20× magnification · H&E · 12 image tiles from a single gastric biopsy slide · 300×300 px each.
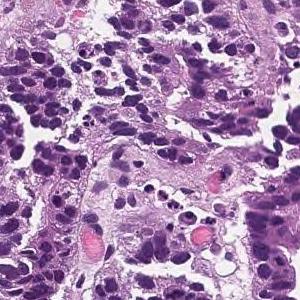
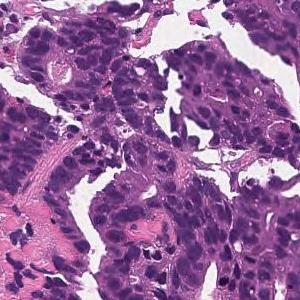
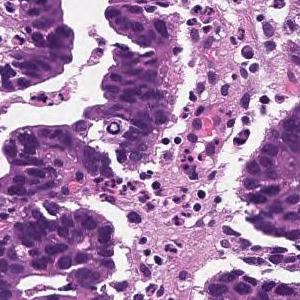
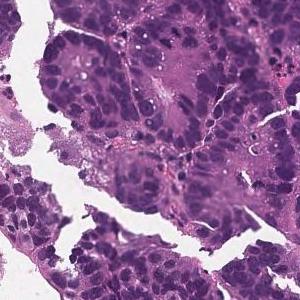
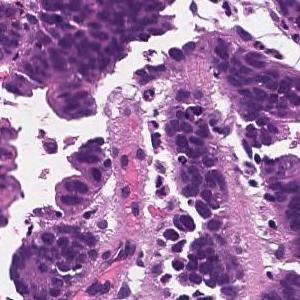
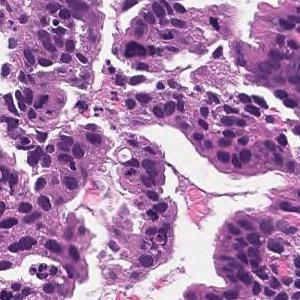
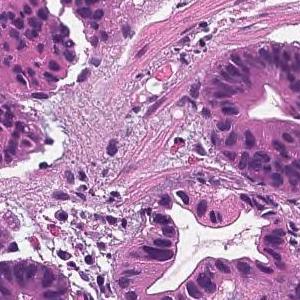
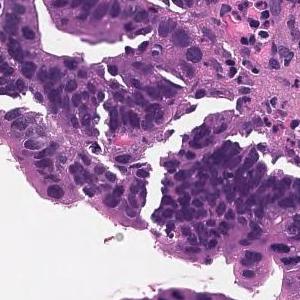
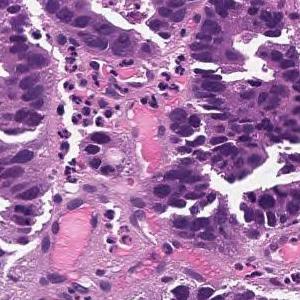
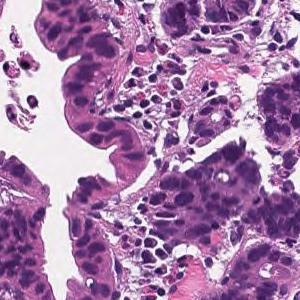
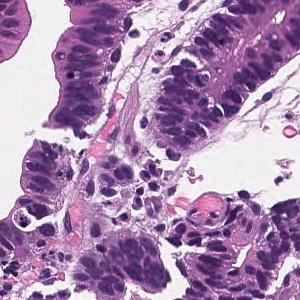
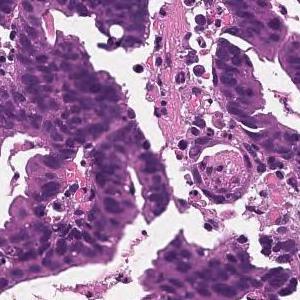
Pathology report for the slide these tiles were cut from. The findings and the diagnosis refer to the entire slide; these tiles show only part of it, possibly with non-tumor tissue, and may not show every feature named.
In the superficial epithelium, tumor tissue that invades by forming medium-sized to small, irregular ducts is observed. moderately differentiated tubular adenocarcinoma.
